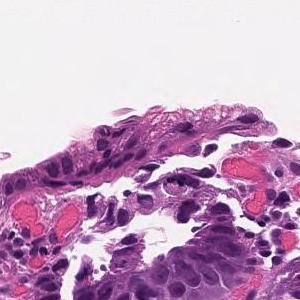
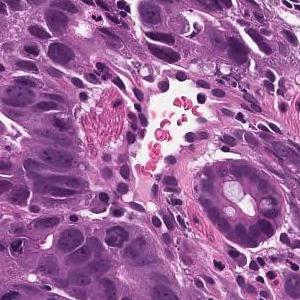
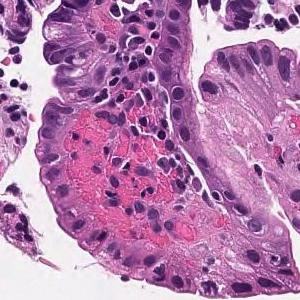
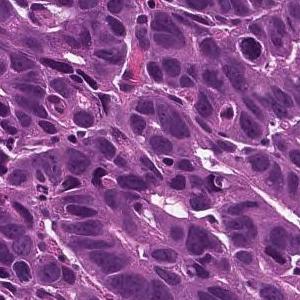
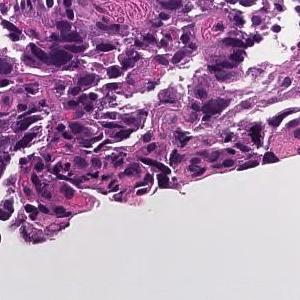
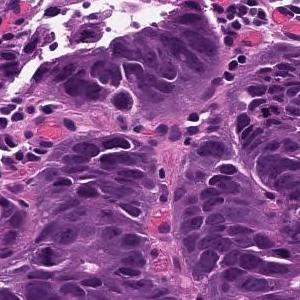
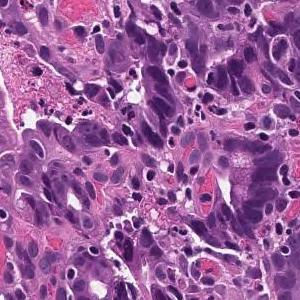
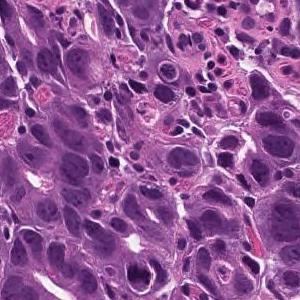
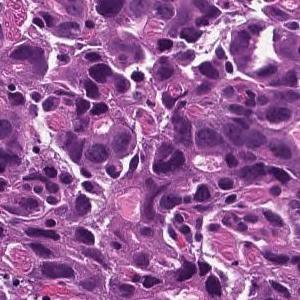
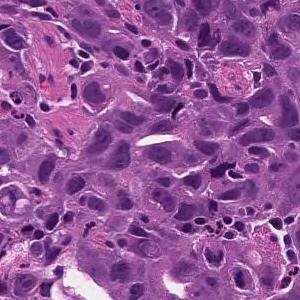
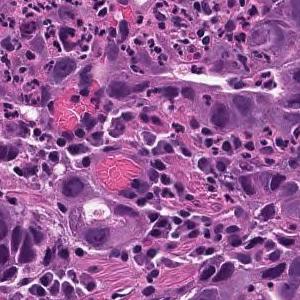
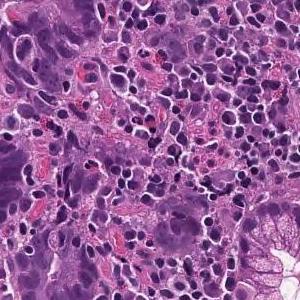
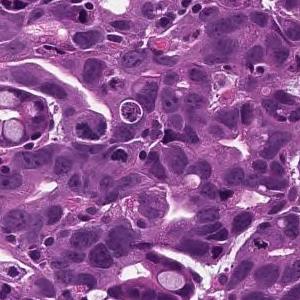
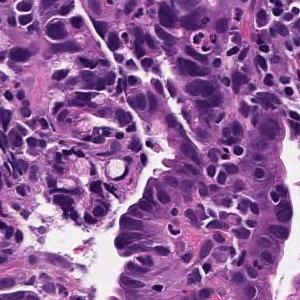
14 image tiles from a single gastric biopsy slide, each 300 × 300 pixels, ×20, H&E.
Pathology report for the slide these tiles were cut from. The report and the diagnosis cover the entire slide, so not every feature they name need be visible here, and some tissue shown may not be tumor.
On the superficial epithelium, tumor tissue is found in which medium-sized irregular gland ducts fuse with each other and infiltrate. moderately differentiated tubular adenocarcinoma
